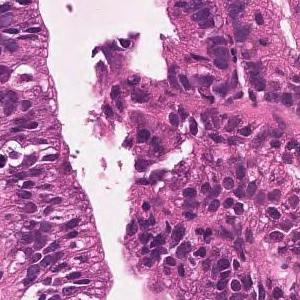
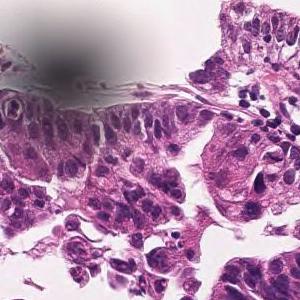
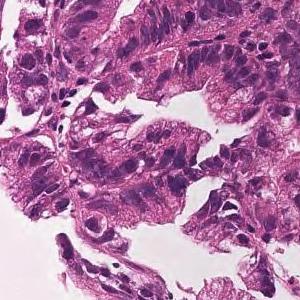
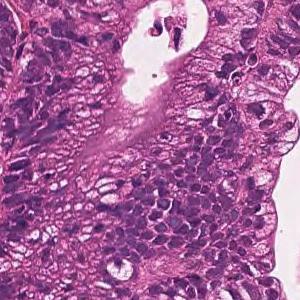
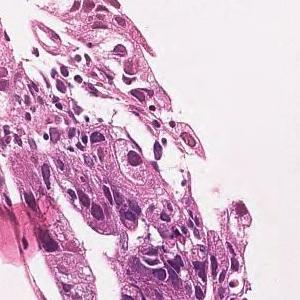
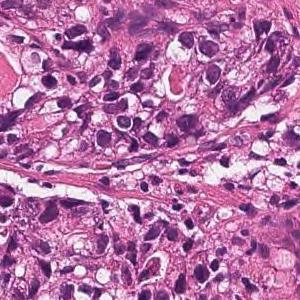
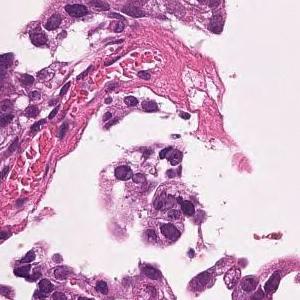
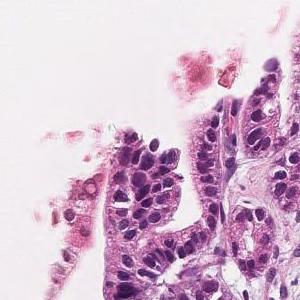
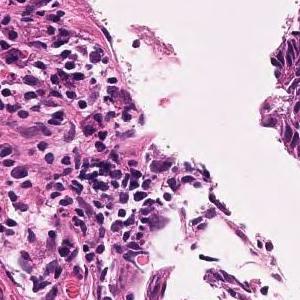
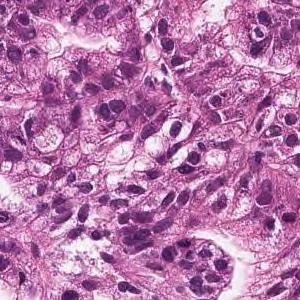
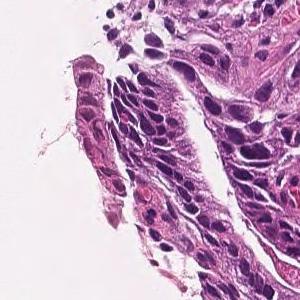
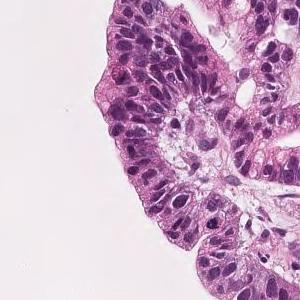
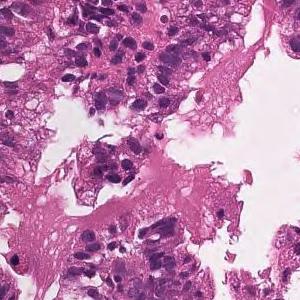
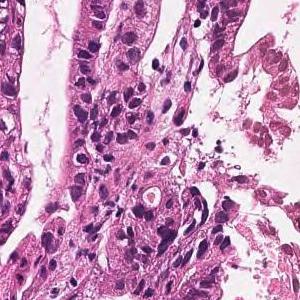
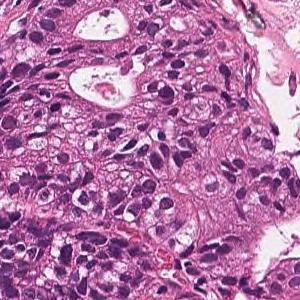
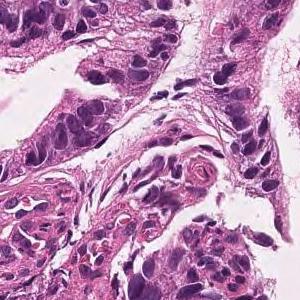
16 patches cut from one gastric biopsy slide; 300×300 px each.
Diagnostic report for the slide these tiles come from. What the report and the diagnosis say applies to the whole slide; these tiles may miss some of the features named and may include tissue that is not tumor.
On the superficial epithelium, tumor tissue consisting of large, irregular glandular ducts partially fused and infiltrated is observed. Well to moderately differentiated tubular adenocarcinoma (well differentiated tubular adenocarcinoma, moderately differentiated tubular adenocarcinoma)
Classified as well to moderately differentiated tubular adenocarcinoma.
